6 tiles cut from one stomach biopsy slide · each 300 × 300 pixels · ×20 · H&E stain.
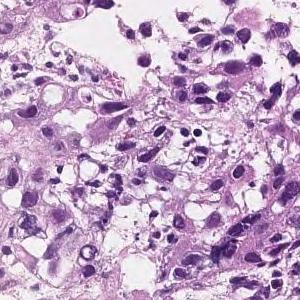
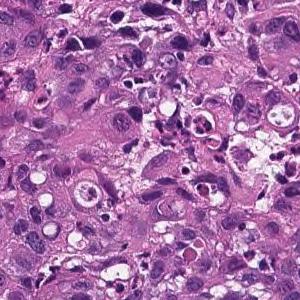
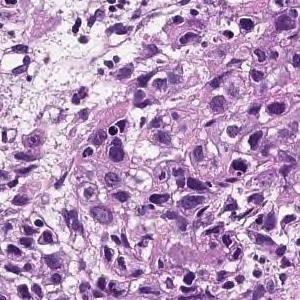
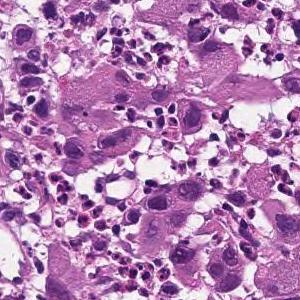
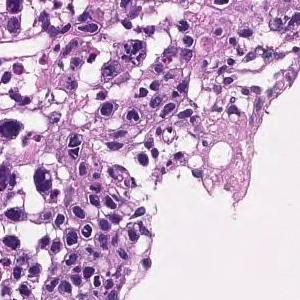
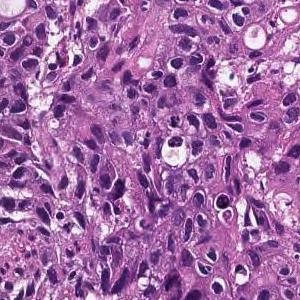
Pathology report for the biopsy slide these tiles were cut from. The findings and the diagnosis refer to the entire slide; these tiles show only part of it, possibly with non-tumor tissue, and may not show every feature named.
The superficial epithelium shows a large sheet-like shape, and some tumor tissue infiltrates with small irregular ducts. Poorly differentiated adenocarcinoma, solid-type
Histologic type: Poorly differentiated adenocarcinoma, solid type. This name comes from the Japanese Classification of Gastric Carcinoma; the WHO 2019 classification calls it tubular adenocarcinoma, poorly differentiated.
